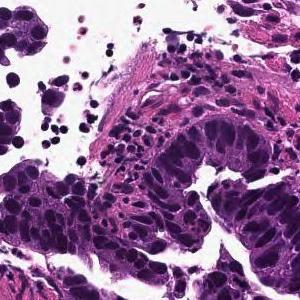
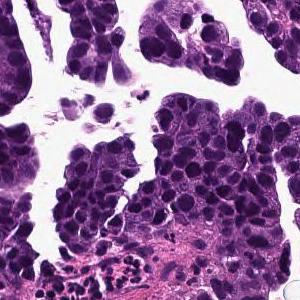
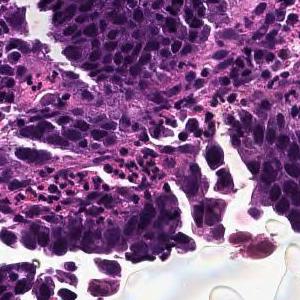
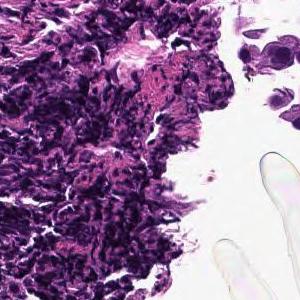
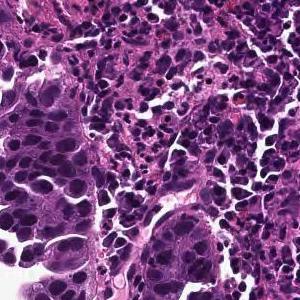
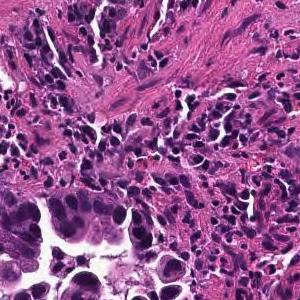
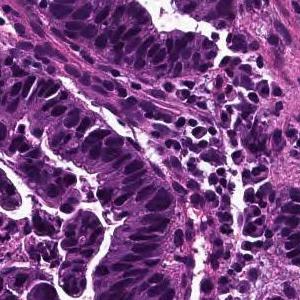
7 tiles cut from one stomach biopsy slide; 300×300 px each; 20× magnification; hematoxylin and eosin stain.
Report on the slide these tiles come from. The findings and the diagnosis refer to the entire slide; these tiles show only part of it, possibly with non-tumor tissue, and may not show every feature named.
Tumor cells are large, highly columnar, large club-shaped nuclei, and are associated with chromatin aggregation. Papillary adenocarcinoma.
